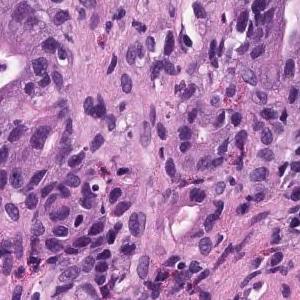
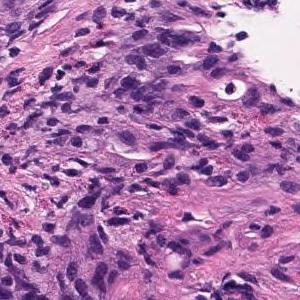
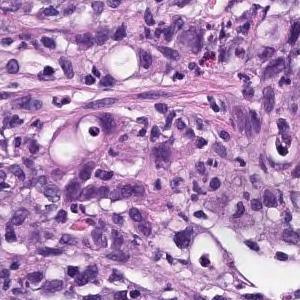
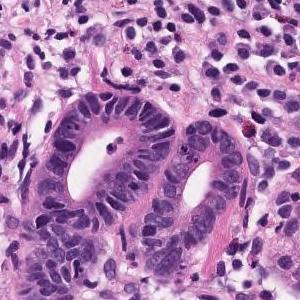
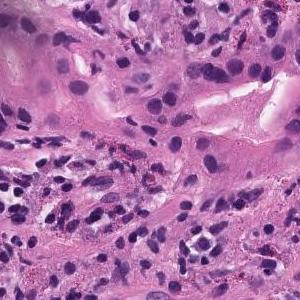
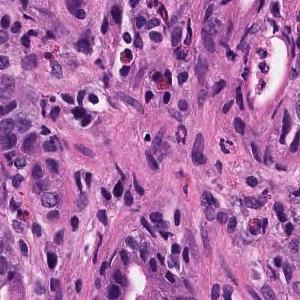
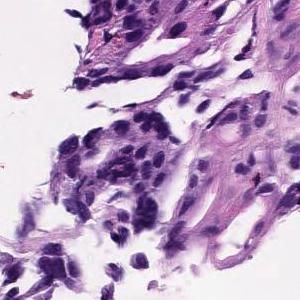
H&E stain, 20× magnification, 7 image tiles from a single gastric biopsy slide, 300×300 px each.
Report on the slide these tiles come from. The report and the diagnosis describe the slide as a whole, so these tiles may not show every feature named and may include non-tumor tissue.
moderately differentiated tubular adenocarcinoma, Poorly differentiated adenocarcinoma
Dataset label: poorly differentiated adenocarcinoma, solid type. This name comes from the Japanese Classification of Gastric Carcinoma; the WHO 2019 classification calls it tubular adenocarcinoma, poorly differentiated.
